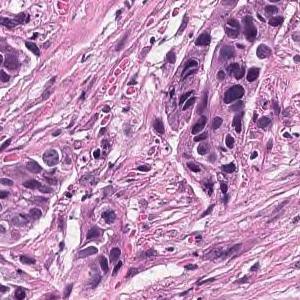
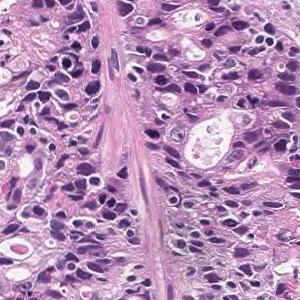
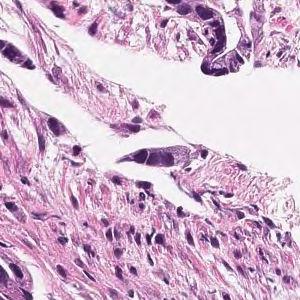
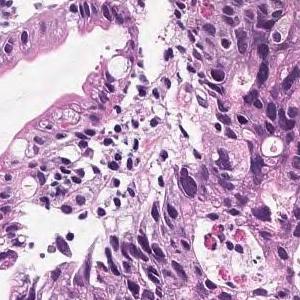
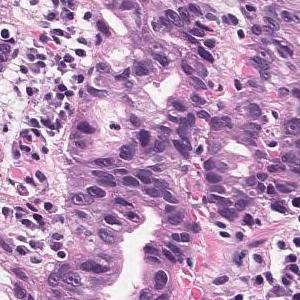
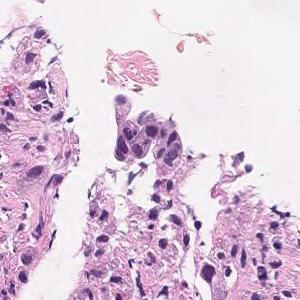
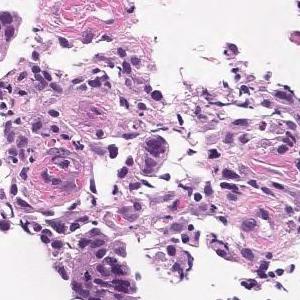
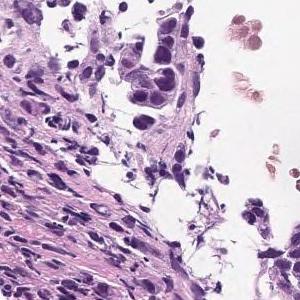
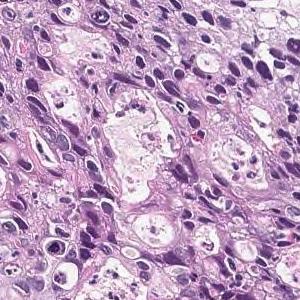
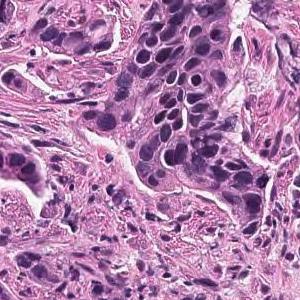
10 tiles from the same stomach biopsy slide · each 300 × 300 pixels · scanned at ×20.
Pathology report for the biopsy slide these tiles were cut from. The report describes the whole slide, diagnosis included: not every finding it names need appear in these tiles, which may also show non-tumor tissue.
Tumor cells are large, highly columnar, large club-shaped nuclei, and are associated with chromatin aggregation. Papillary adenocarcinoma.
